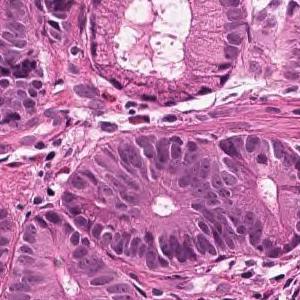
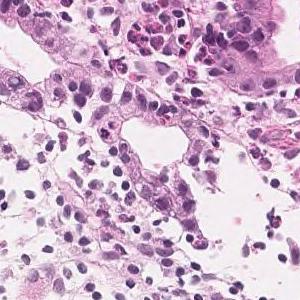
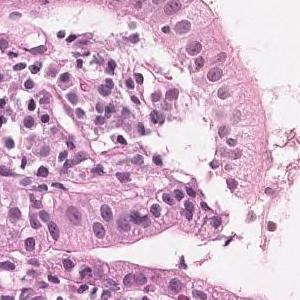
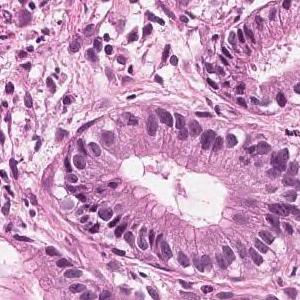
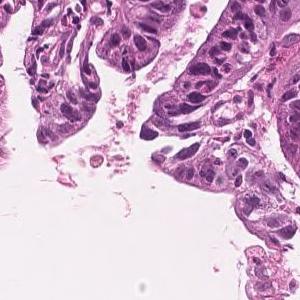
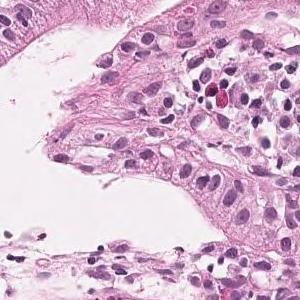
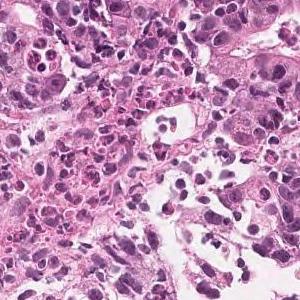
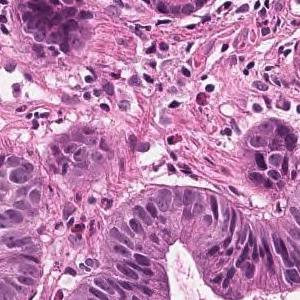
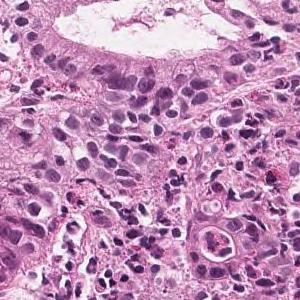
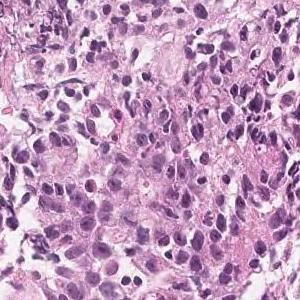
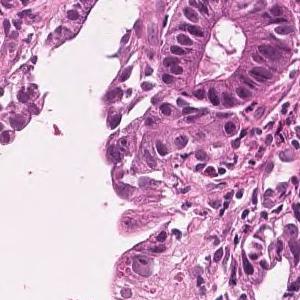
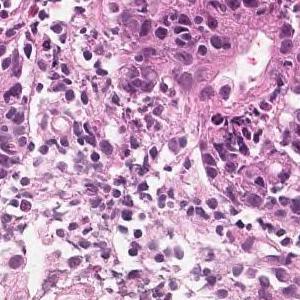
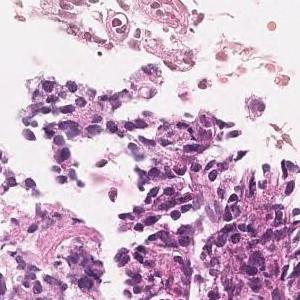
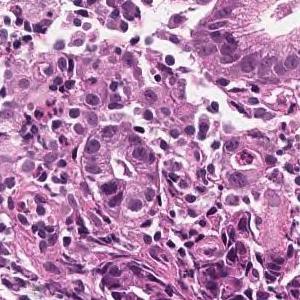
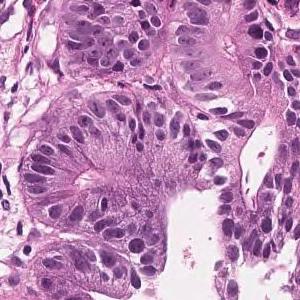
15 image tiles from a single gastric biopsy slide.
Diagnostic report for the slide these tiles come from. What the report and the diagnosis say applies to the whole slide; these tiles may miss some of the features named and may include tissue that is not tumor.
On the superficial epithelium, tumor tissue consisting of large, irregular glandular ducts partially fused and infiltrated is observed. Well to moderately differentiated tubular adenocarcinoma (well differentiated tubular adenocarcinoma, moderately differentiated tubular adenocarcinoma)
Subtype: Well to moderately differentiated tubular adenocarcinoma.
